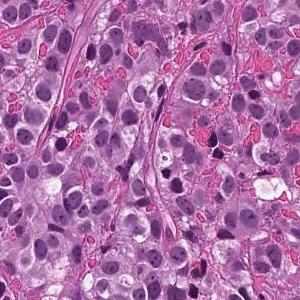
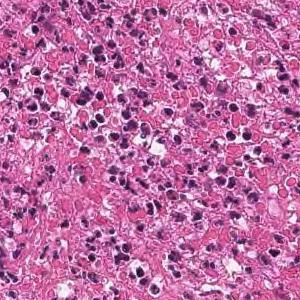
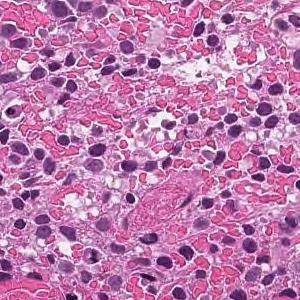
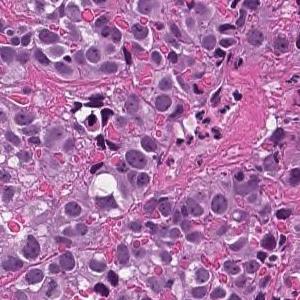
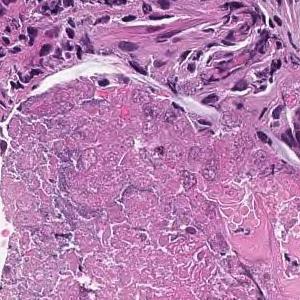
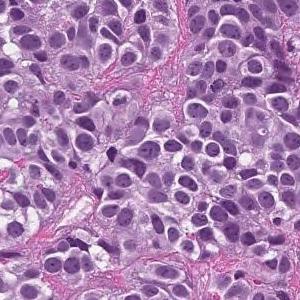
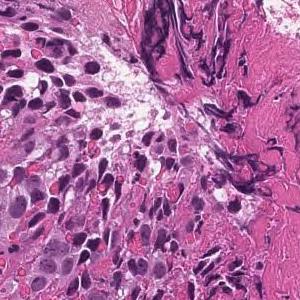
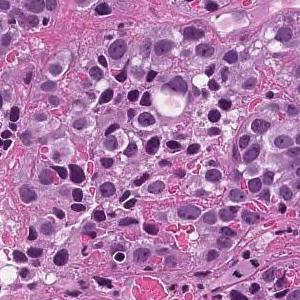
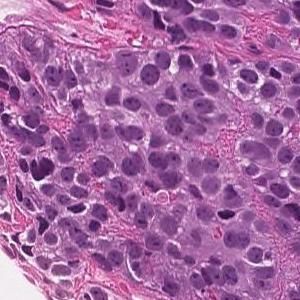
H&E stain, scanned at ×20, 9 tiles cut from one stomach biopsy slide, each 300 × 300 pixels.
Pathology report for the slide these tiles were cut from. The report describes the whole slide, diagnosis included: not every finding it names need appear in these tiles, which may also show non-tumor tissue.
The superficial epithelium shows a large sheet-like shape, and some tumor tissue infiltrates with small irregular ducts. Poorly differentiated adenocarcinoma, solid-type
Histological subtype: Poorly differentiated adenocarcinoma, solid type (Japanese Classification of Gastric Carcinoma). The WHO 2019 equivalent is tubular adenocarcinoma, poorly differentiated.
